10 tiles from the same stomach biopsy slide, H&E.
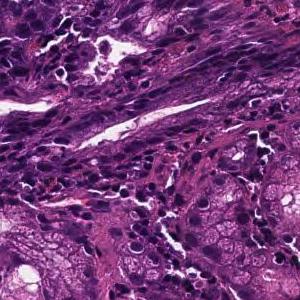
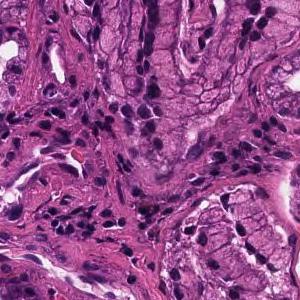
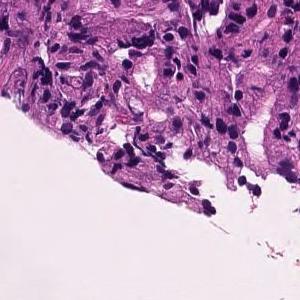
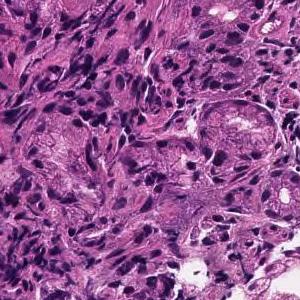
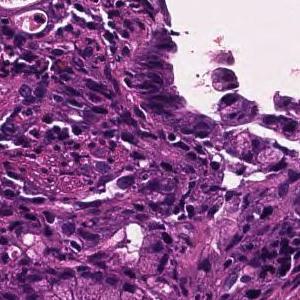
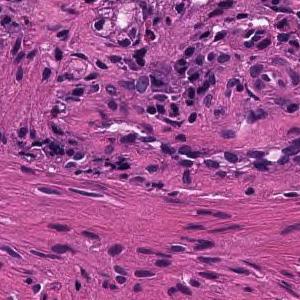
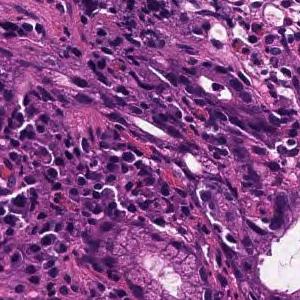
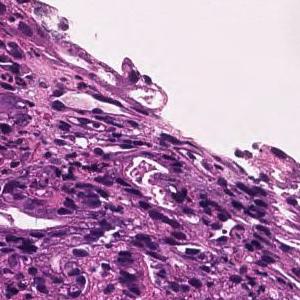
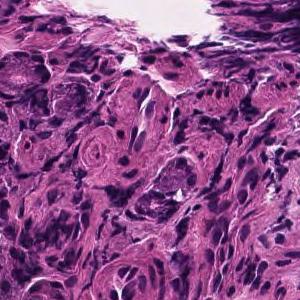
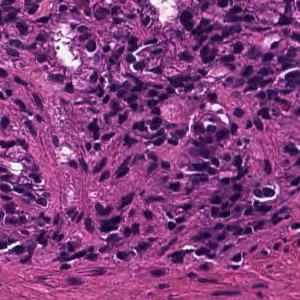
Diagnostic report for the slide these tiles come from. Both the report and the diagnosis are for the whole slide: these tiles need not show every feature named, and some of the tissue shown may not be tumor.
In the superficial epithelium, tumor tissue that invades by forming medium-sized to small, irregular ducts is observed. moderately differentiated tubular adenocarcinoma.
